Hematoxylin and eosin stain, 20× magnification, 11 patches cut from one gastric biopsy slide, each 300 × 300 pixels.
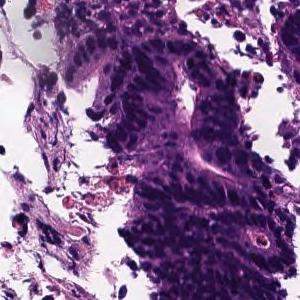
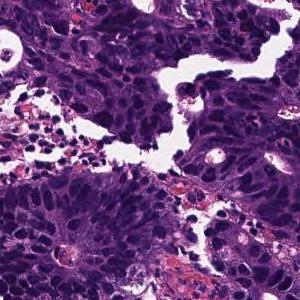
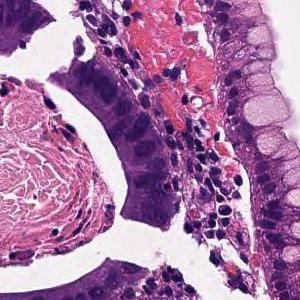
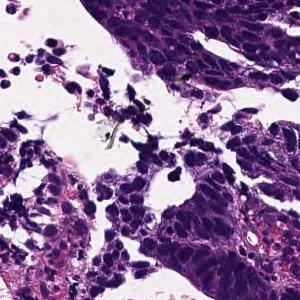
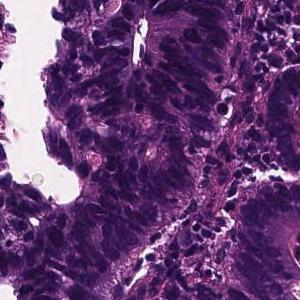
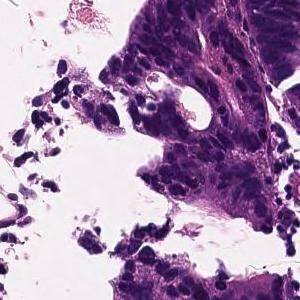
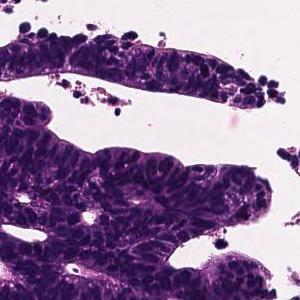
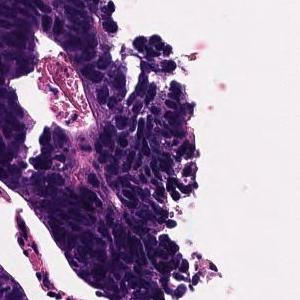
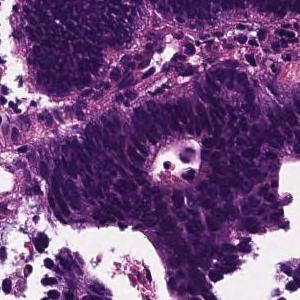
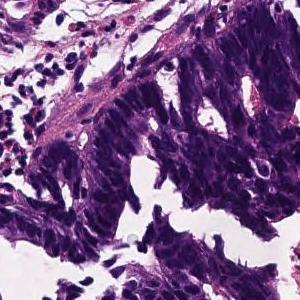
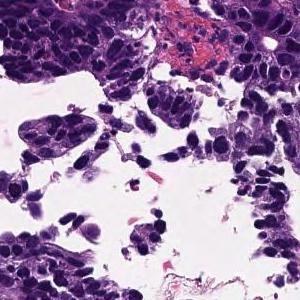
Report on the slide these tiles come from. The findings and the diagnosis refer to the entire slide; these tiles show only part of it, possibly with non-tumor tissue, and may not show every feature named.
In the superficial epithelium, tumor tissue that invades by forming medium-sized to small, irregular ducts is observed. moderately differentiated tubular adenocarcinoma.
